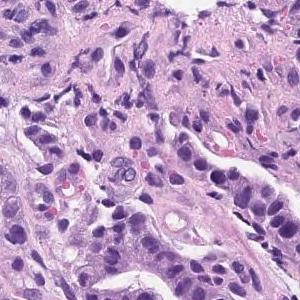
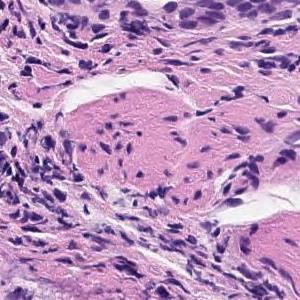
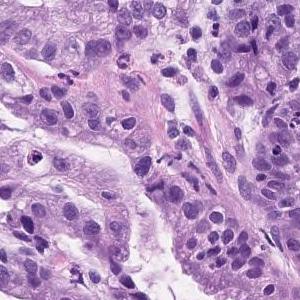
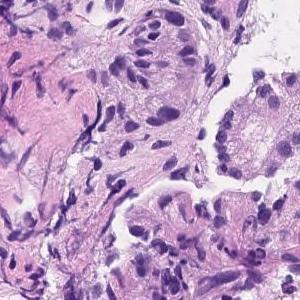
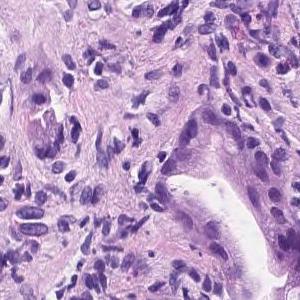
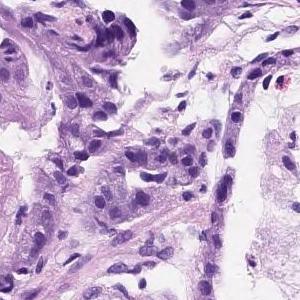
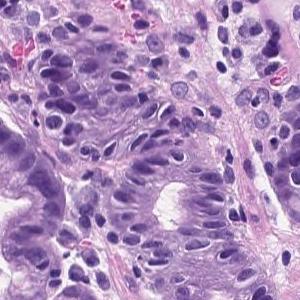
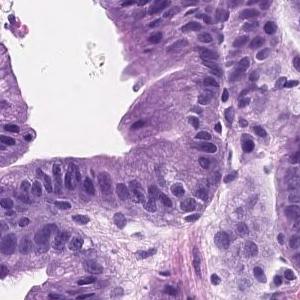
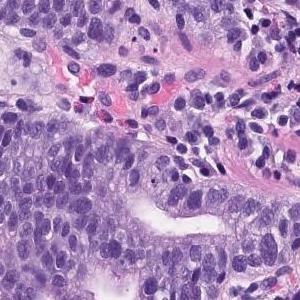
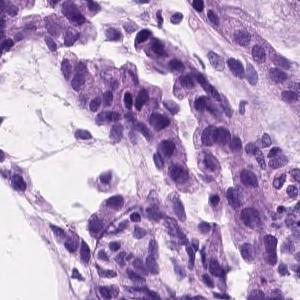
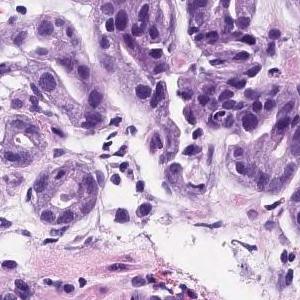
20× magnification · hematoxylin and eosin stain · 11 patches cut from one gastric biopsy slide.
Pathology report for the biopsy slide these tiles were cut from. The report and the diagnosis cover the entire slide, so not every feature they name need be visible here, and some tissue shown may not be tumor.
Tumor tissue consisting of medium-sized and irregular ducts is observed infiltrating in the superficial epithelium. Tumor cells are highly columnar, with nuclei aligned basolaterally and polarized. Well differentiated tubular adenocarcinoma.
